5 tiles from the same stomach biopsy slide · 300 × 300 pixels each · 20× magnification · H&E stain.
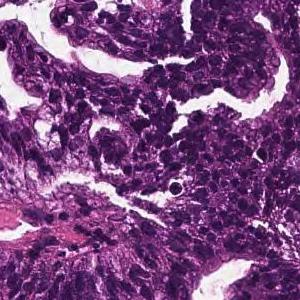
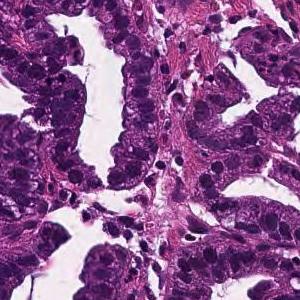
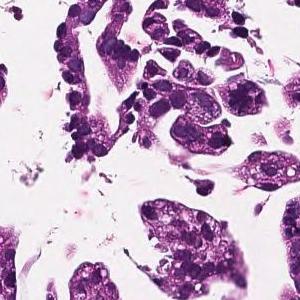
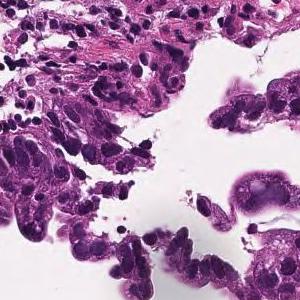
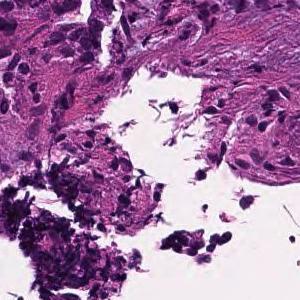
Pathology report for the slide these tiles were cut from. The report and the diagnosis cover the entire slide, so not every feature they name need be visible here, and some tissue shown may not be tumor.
Tumor cells are large, highly columnar, large club-shaped nuclei, and are associated with chromatin aggregation. Papillary adenocarcinoma.
